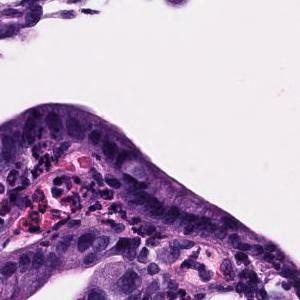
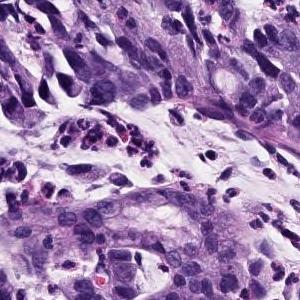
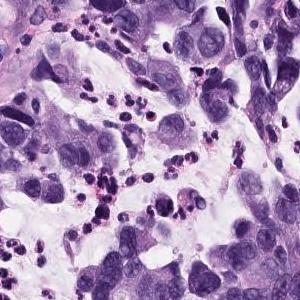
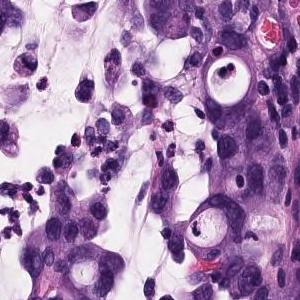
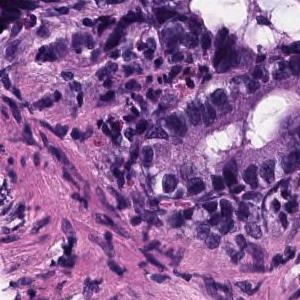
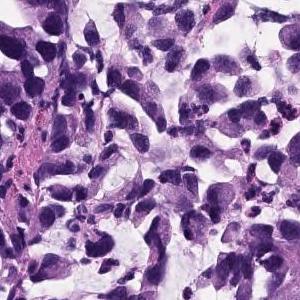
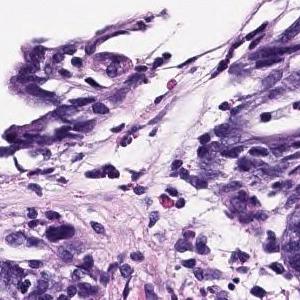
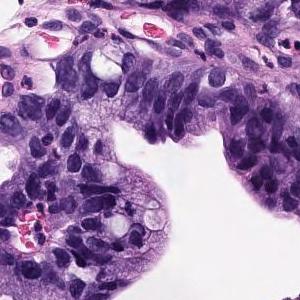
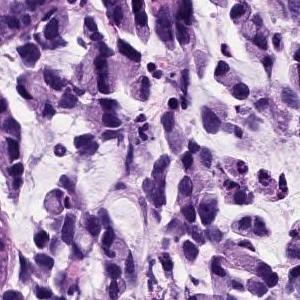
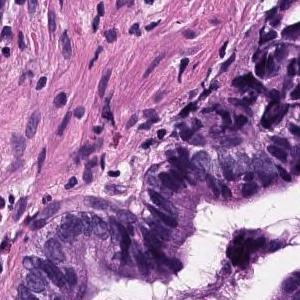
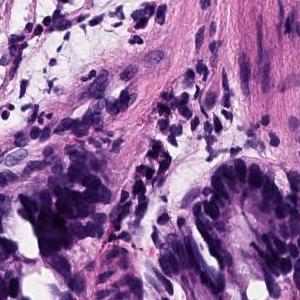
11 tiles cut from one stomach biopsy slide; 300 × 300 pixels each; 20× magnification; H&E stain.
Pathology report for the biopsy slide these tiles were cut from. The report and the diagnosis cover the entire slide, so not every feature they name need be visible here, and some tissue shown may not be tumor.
Atypical epithelium proliferating showing villus construction and irregular gland duct construction is observed. Moderately differentiated tubular adenocarcinoma.
